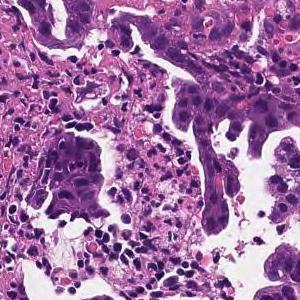
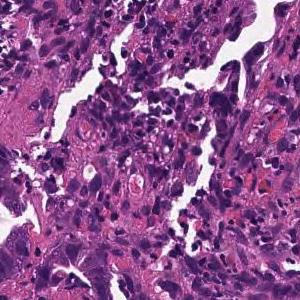
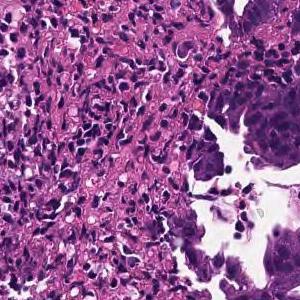
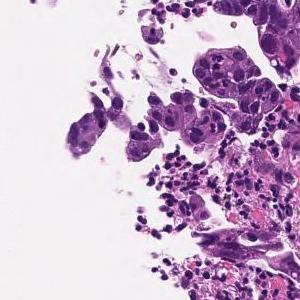
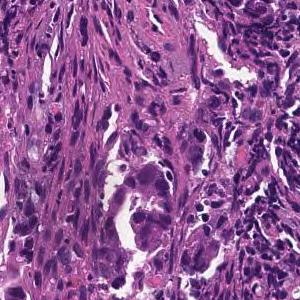
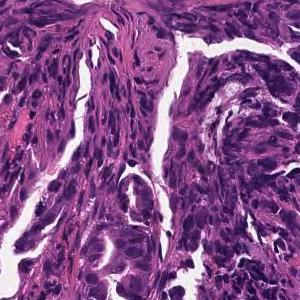
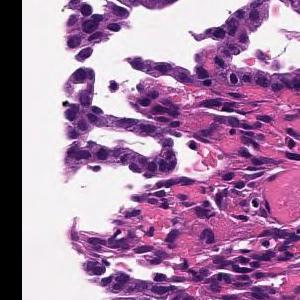
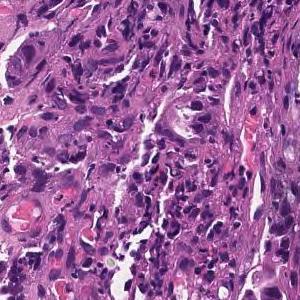
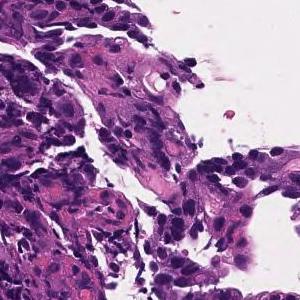
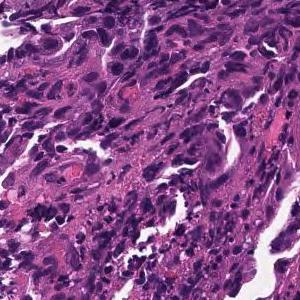
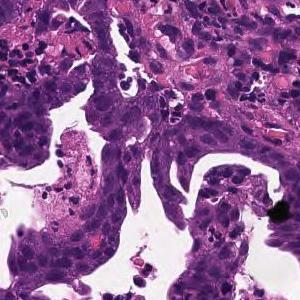
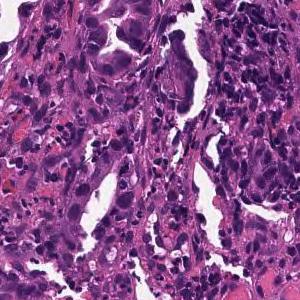
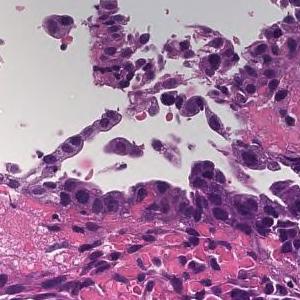
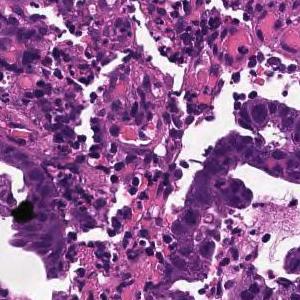
20× magnification, H&E, 14 image tiles from a single gastric biopsy slide, 300×300 px each.
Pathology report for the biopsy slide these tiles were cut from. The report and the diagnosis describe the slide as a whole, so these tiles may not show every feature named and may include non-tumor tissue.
In the superficial epithelium, tumor tissue that invades by forming medium-sized to small, irregular ducts is observed. moderately differentiated tubular adenocarcinoma.
